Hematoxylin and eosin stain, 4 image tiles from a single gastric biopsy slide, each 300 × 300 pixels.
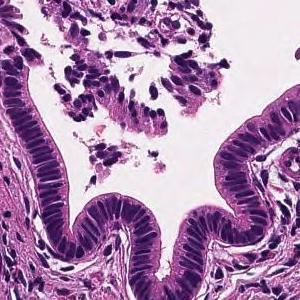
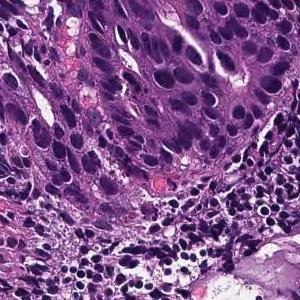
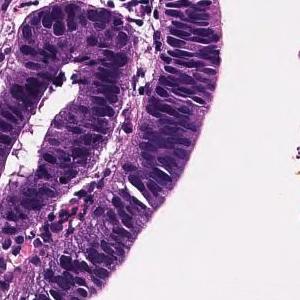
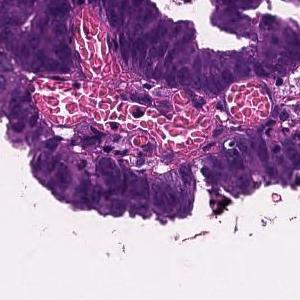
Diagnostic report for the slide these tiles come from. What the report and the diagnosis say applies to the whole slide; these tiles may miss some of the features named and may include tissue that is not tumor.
Tumor tissue consisting of large papillary structures is found in the superficial epithelium. Papillary adenocarcinoma.
